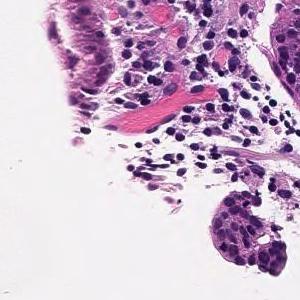
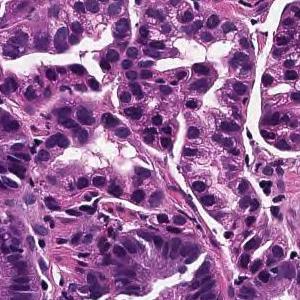
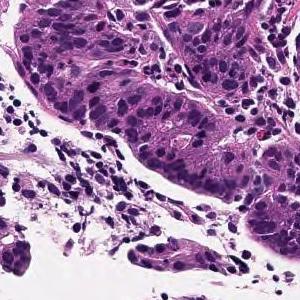
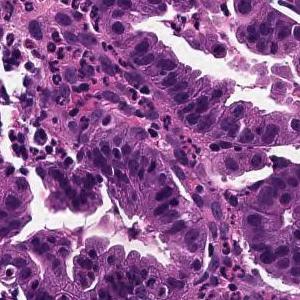
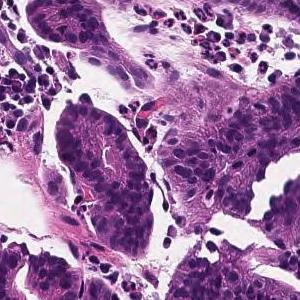
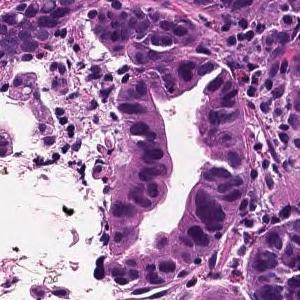
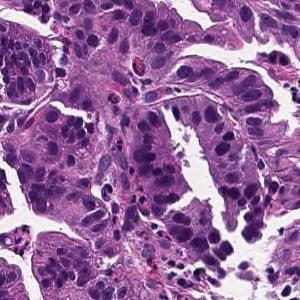
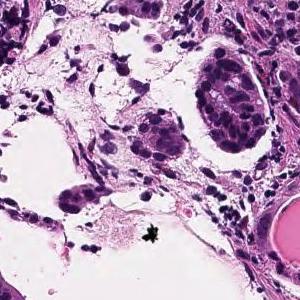
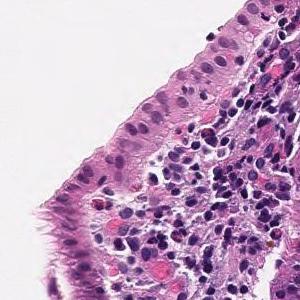
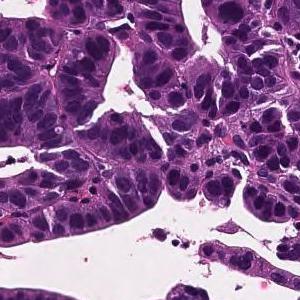
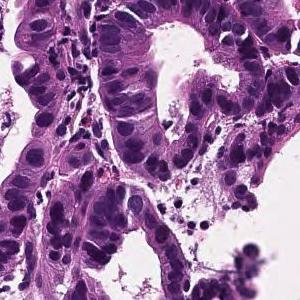
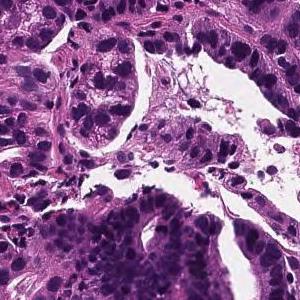
12 tiles from the same stomach biopsy slide · 300 × 300 pixels each · ×20 · hematoxylin and eosin stain.
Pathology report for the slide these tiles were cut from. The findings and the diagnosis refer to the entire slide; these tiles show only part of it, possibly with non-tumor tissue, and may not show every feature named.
From the superficial epithelium to the muscularis mucosae, tumor tissue that invades by forming medium-sized to small irregular gland ducts is observed. Well differentiated tubular adenocarcinoma (well differentiated tubular adenocarcinoma)
Subtype: Well differentiated tubular adenocarcinoma.
